Hematoxylin and eosin stain; 11 tiles from the same stomach biopsy slide.
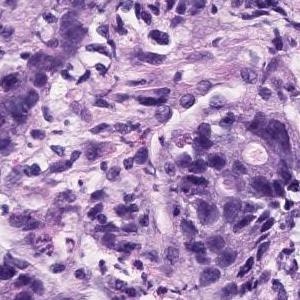
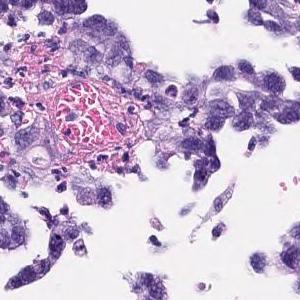
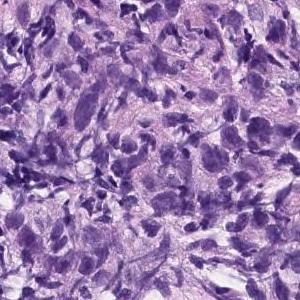
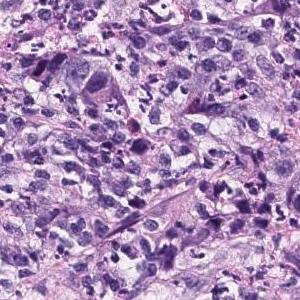
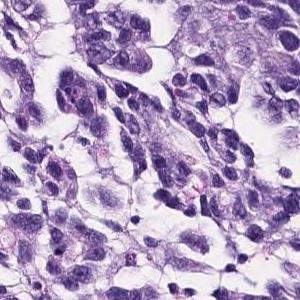
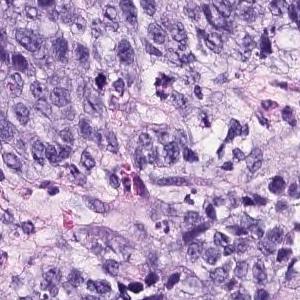
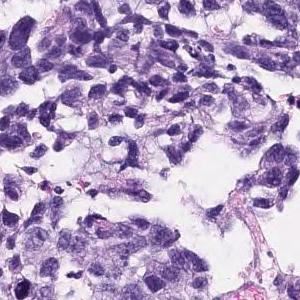
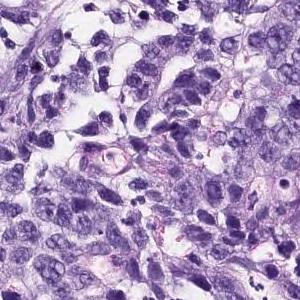
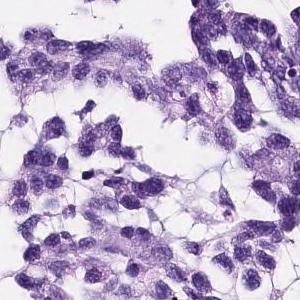
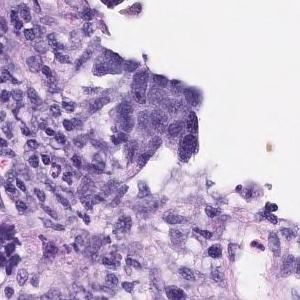
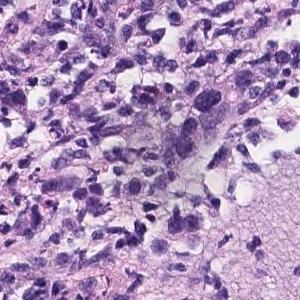
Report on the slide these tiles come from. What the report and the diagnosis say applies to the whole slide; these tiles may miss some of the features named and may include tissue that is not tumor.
The superficial epithelium shows a large sheet-like shape, and some tumor tissue infiltrates with small irregular ducts. Poorly differentiated adenocarcinoma, solid-type
Histological subtype: Poorly differentiated adenocarcinoma, solid type, a category of the Japanese Classification of Gastric Carcinoma; in the WHO 2019 classification it is tubular adenocarcinoma, poorly differentiated.
